H&E, ×20, 4 patches cut from one gastric biopsy slide.
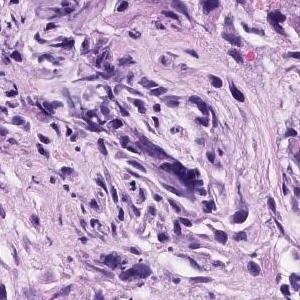
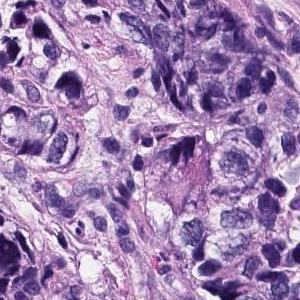
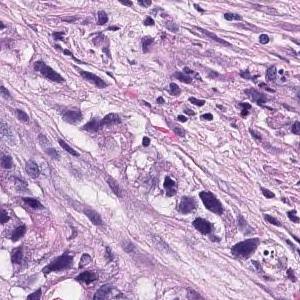
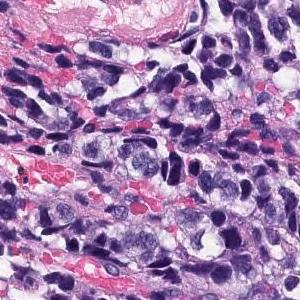
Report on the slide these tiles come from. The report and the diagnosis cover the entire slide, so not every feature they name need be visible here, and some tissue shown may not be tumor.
The superficial epithelium shows small cord-like infiltrating tumor tissue. Some part of neoplastic cells are signet ring cell type which show single invasion manner. Poorly differentiated adenocarcinoma, non-solid type.
"Non-solid type" is a category of the Japanese Classification of Gastric Carcinoma.
